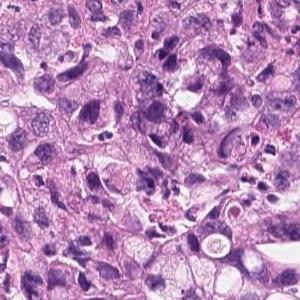
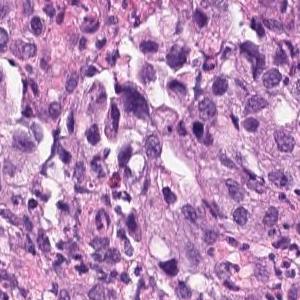
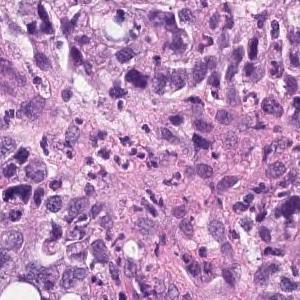
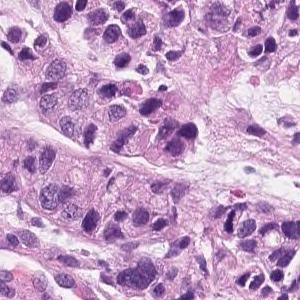
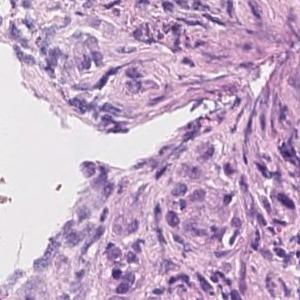
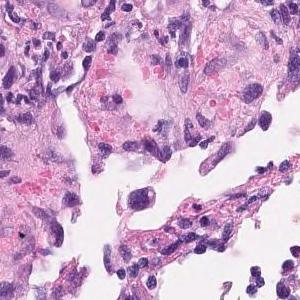
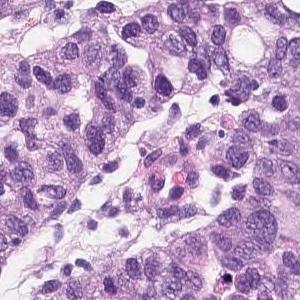
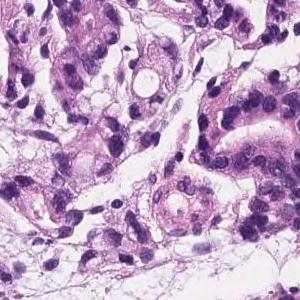
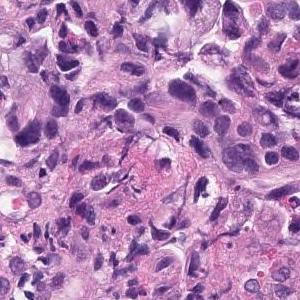
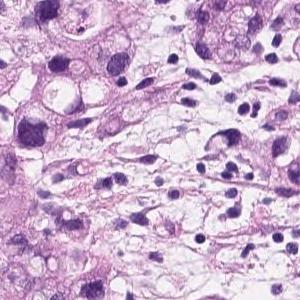
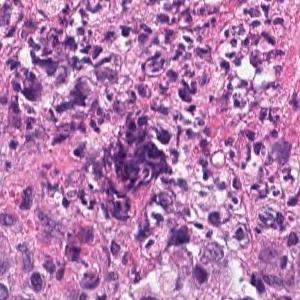
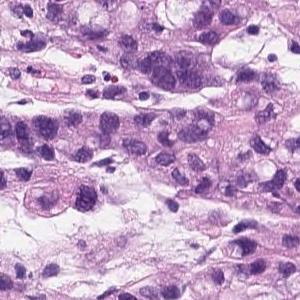
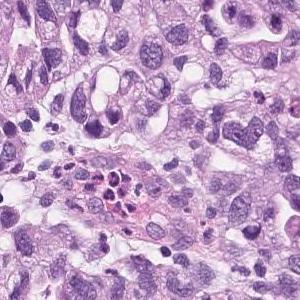
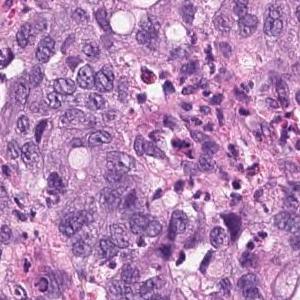
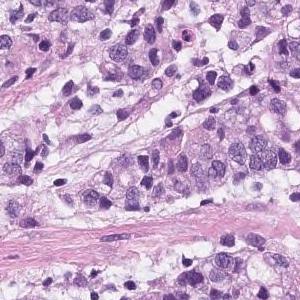
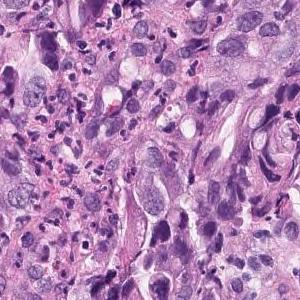
H&E stain, 20× magnification, 16 image tiles from a single gastric biopsy slide.
Diagnostic report for the slide these tiles come from. The report and the diagnosis describe the slide as a whole, so these tiles may not show every feature named and may include non-tumor tissue.
Group 5, Adenocarcinoma. Poorly differentiated adenocarcinoma, non-solid type
"Non-solid type" is a category of the Japanese Classification of Gastric Carcinoma.
